5 tiles from the same stomach biopsy slide; 300×300 px each; 20× magnification; H&E stain.
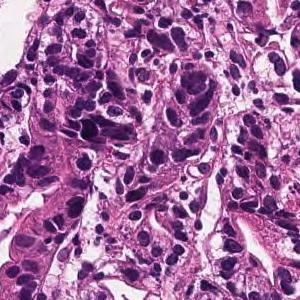
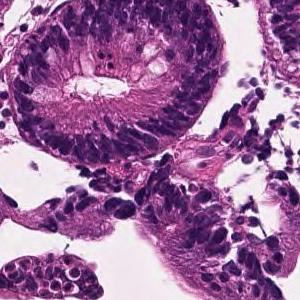
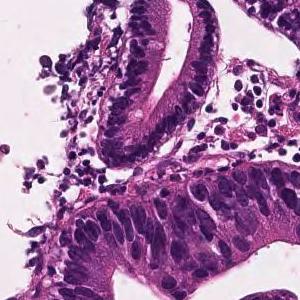
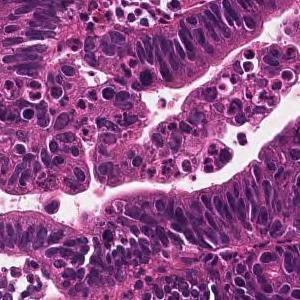
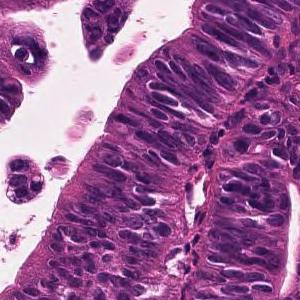
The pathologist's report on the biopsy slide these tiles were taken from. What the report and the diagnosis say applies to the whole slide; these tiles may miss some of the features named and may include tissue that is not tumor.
A large irregular tubular structure is exhibited in the epithelium, and tumor tissue that partially fuses and infiltrates and proliferates is observed. Large columnar tumor cells exhibit enlarged nucleus, hyperchromatism, and mitotic figures. Well differentiated tubular adenocarcinoma
